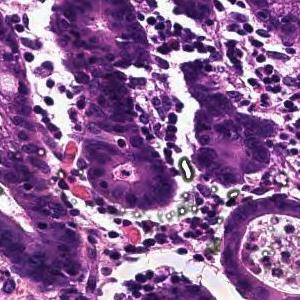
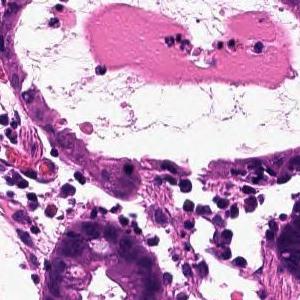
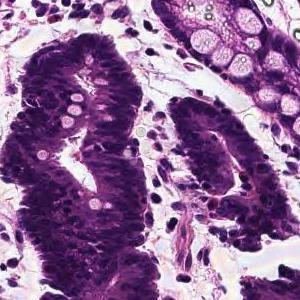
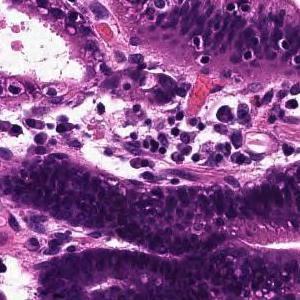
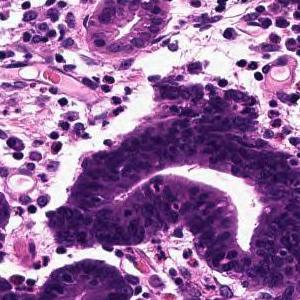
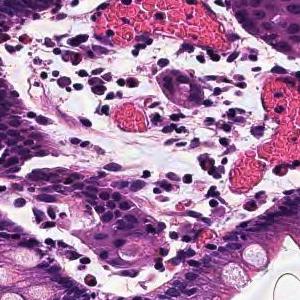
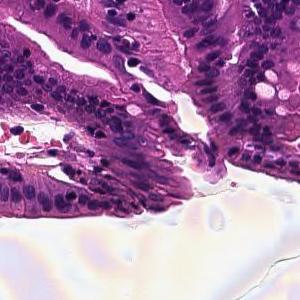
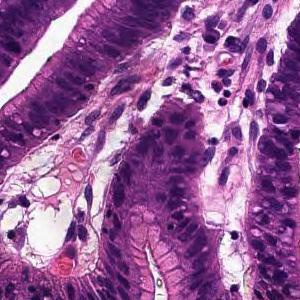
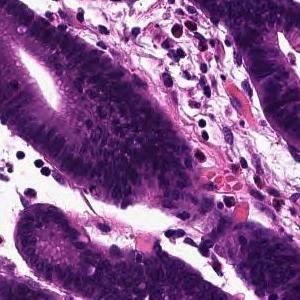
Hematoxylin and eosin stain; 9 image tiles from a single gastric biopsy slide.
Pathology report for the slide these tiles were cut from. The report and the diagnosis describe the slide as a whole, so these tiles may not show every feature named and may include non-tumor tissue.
Tumor tissue that infiltrates by forming large papillary or large irregular glandular ducts is observed confined to the mucosa. Papillary adenocarcinoma
